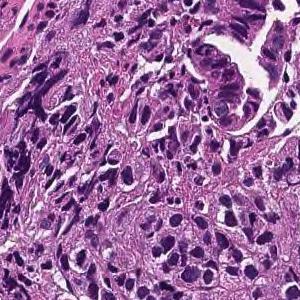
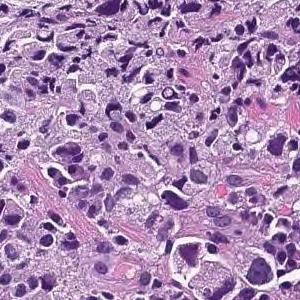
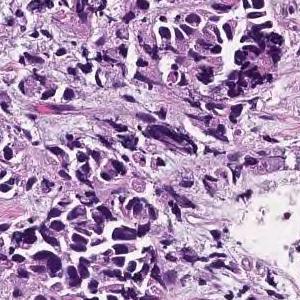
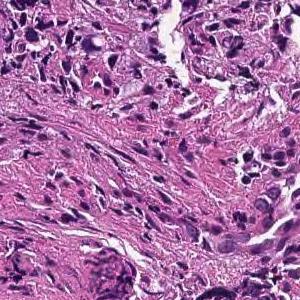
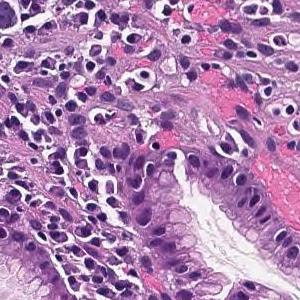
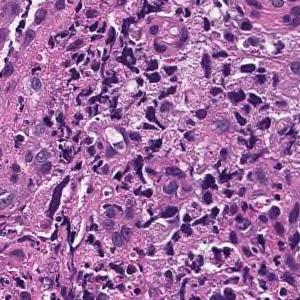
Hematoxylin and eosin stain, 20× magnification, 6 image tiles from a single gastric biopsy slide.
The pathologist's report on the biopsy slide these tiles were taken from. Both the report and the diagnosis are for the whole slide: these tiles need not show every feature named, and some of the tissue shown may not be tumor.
The lamina propria shows small cord-like tumor tissue that infiltrates with fibrosis and marked chronic inflammatory cell infiltration. Poorly differentiated adenocarcinoma, non-solid type
The non-solid type named here is a Japanese Classification of Gastric Carcinoma category.
